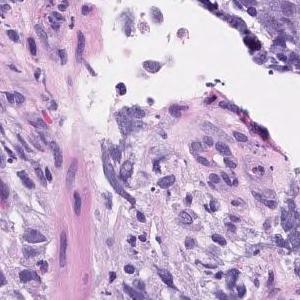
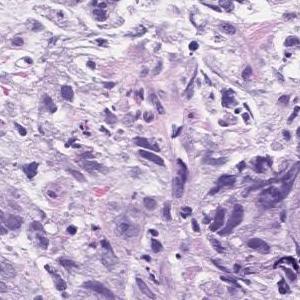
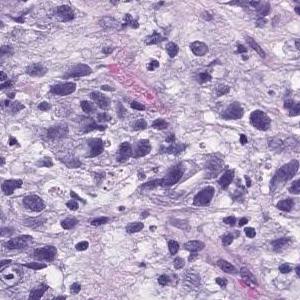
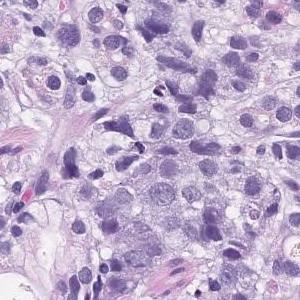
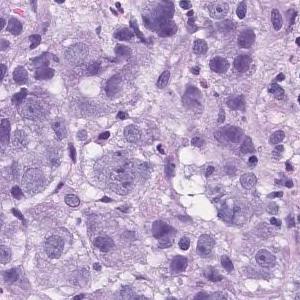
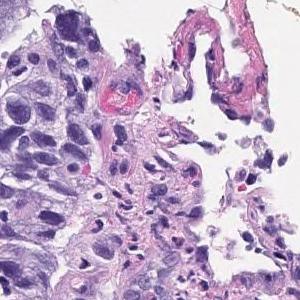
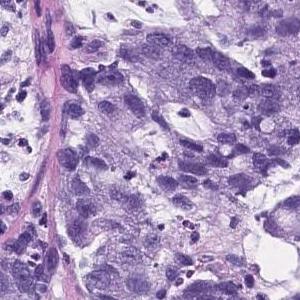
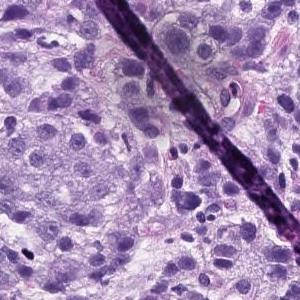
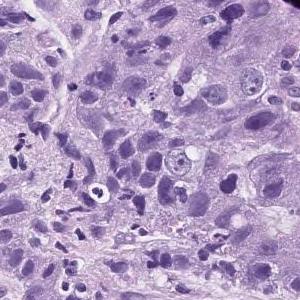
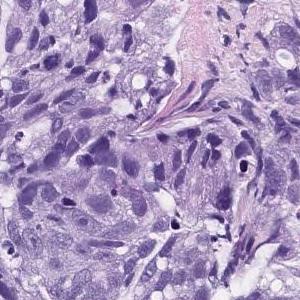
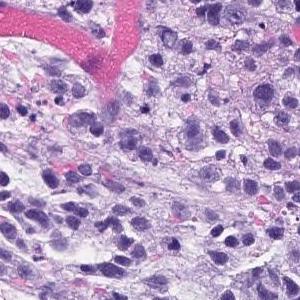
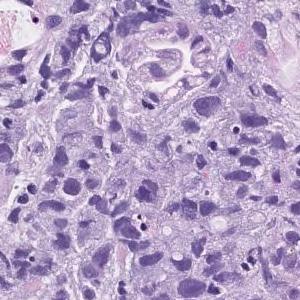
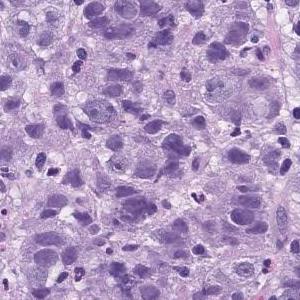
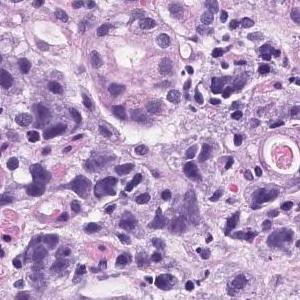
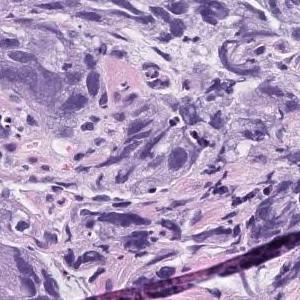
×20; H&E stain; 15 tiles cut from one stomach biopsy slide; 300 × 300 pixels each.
Pathology report for the slide these tiles were cut from. The report and the diagnosis describe the slide as a whole, so these tiles may not show every feature named and may include non-tumor tissue.
Atypical l cells with atypical nuclei forming solid vesicles or small irregular atypical ducts that proliferate in a complex manner. poorly differentiated adenocarcinoma, solid type, moderately differentiated tubular adenocarcinoma
"Solid type" is a category of the Japanese Classification of Gastric Carcinoma; in the WHO 2019 classification it is tubular adenocarcinoma, poorly differentiated.
